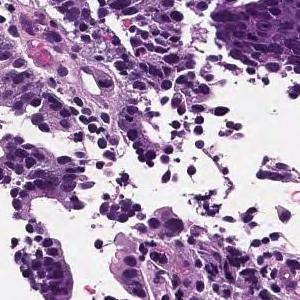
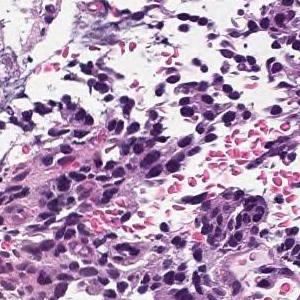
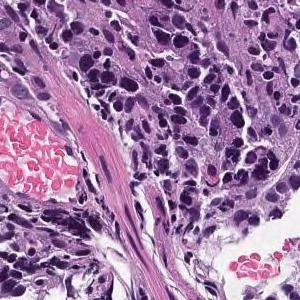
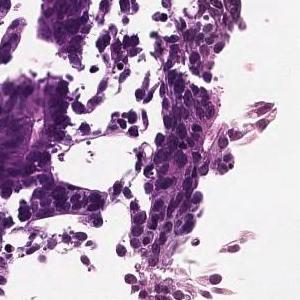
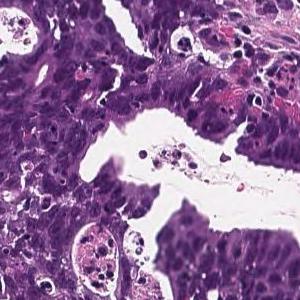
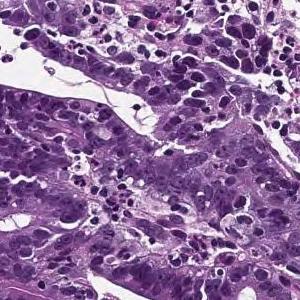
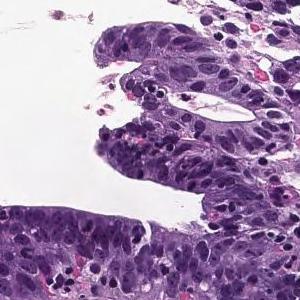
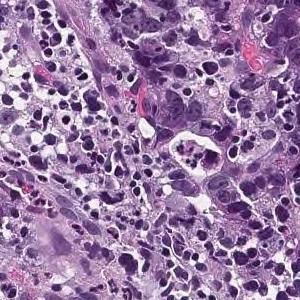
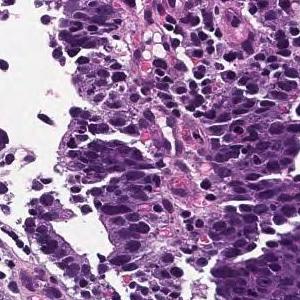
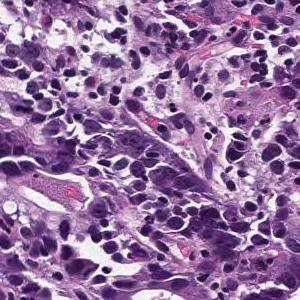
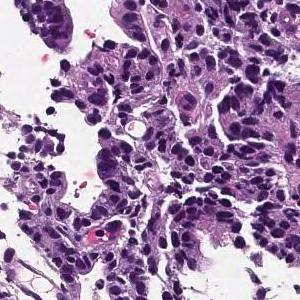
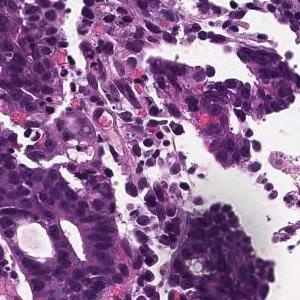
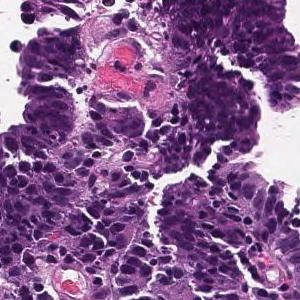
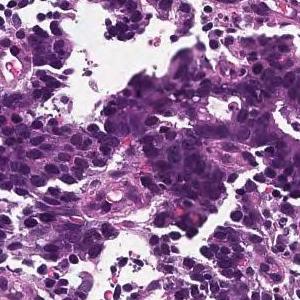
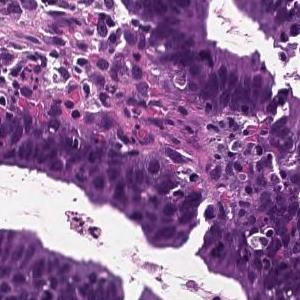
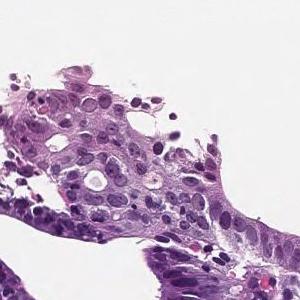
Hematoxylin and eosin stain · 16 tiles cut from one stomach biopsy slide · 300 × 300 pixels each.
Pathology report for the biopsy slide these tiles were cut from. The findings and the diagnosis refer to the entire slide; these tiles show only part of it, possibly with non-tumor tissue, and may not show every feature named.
On the superficial epithelium, tumor tissue is found in which medium-sized irregular gland ducts fuse with each other and infiltrate. moderately differentiated tubular adenocarcinoma
